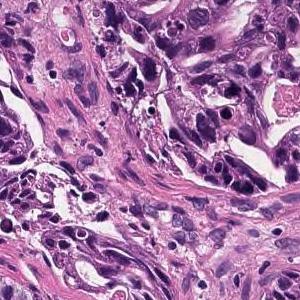
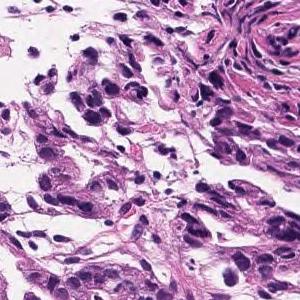
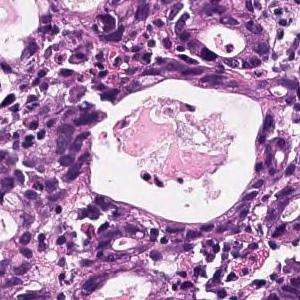
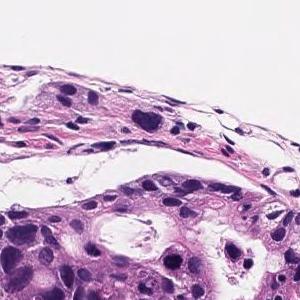
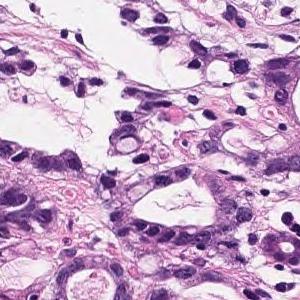
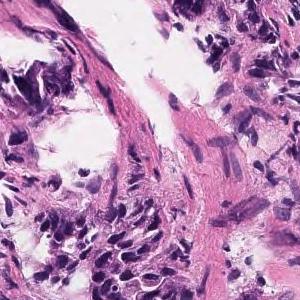
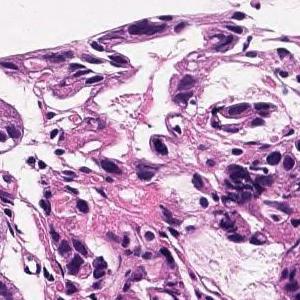
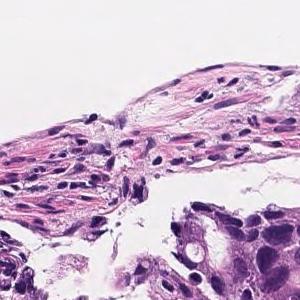
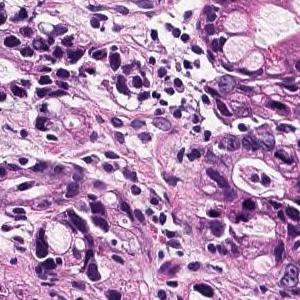
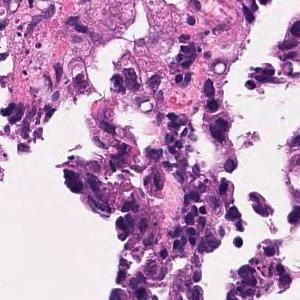
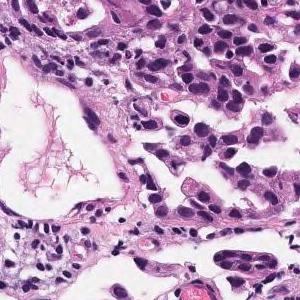
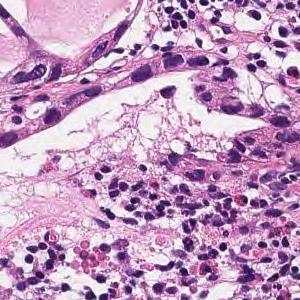
20× magnification; H&E stain; 12 patches cut from one gastric biopsy slide; 300×300 px each.
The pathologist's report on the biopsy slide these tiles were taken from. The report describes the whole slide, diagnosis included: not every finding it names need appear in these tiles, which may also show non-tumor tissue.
In the superficial epithelium, tumor tissue that invades by forming medium-sized to small, irregular ducts is observed. Moderately differentiated adenocarcinoma.
Histological subtype: Moderately differentiated tubular adenocarcinoma.
